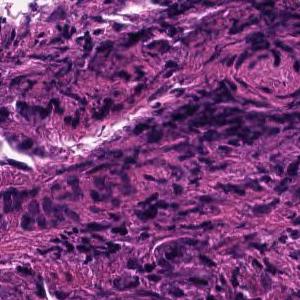
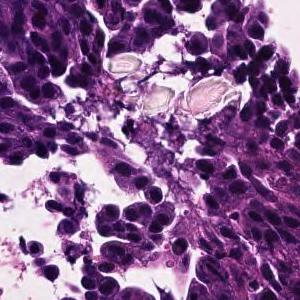
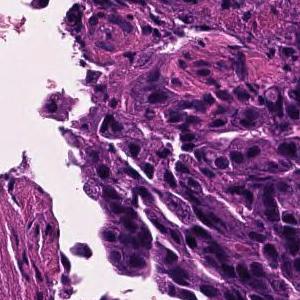
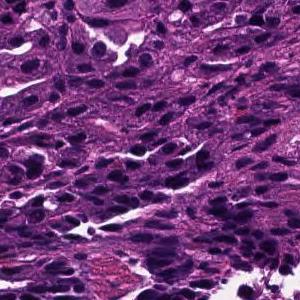
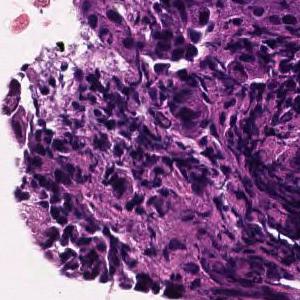
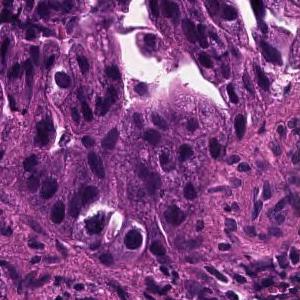
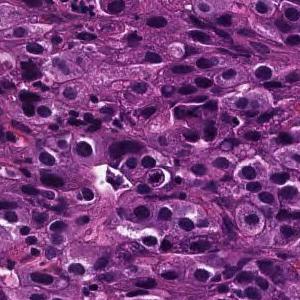
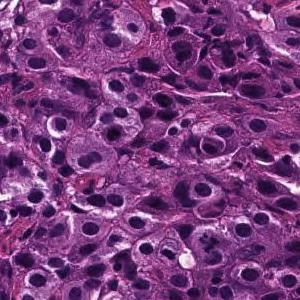
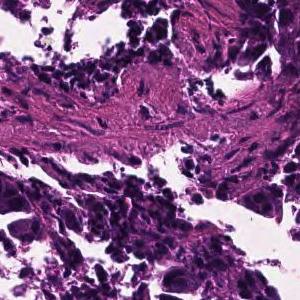
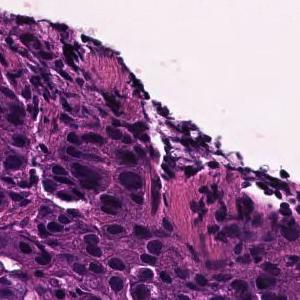
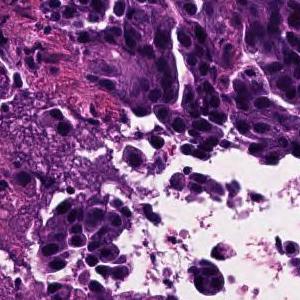
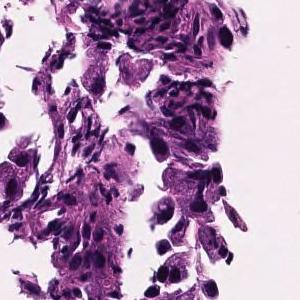
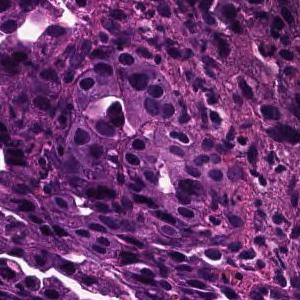
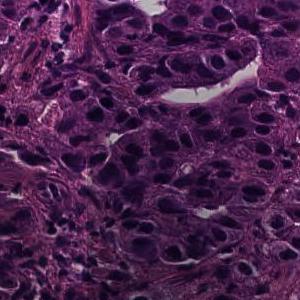
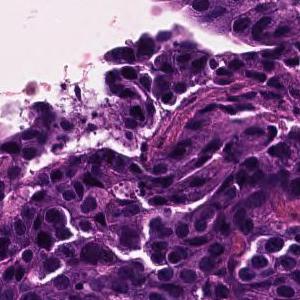
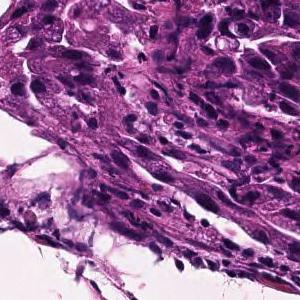
20× magnification, H&E, 16 tiles from the same stomach biopsy slide, each 300 × 300 pixels.
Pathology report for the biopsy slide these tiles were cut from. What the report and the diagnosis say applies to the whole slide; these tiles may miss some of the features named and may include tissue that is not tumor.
Tumor tissue consisting of medium-sized, cord-like or irregular glandular fusion and infiltration is observed in the superficial epithelium. Poorly differentiated adenocarcinoma, non-solid type or moderately differentiated tubular adenocarcinoma
Histological subtype: Moderately to poorly differentiated adenocarcinoma.
The term "non-solid type" comes from the Japanese Classification of Gastric Carcinoma.
